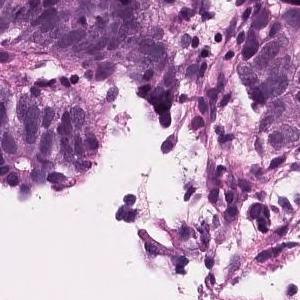
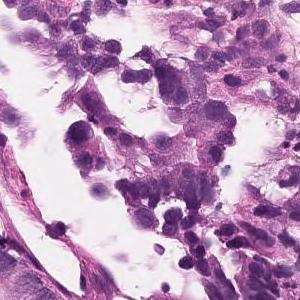
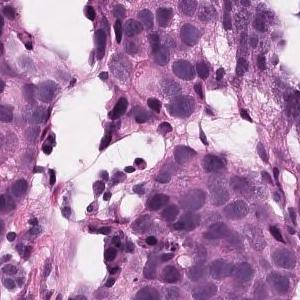
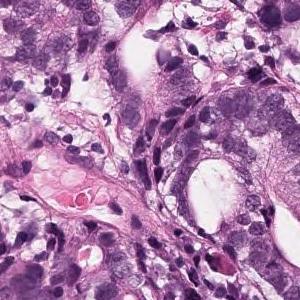
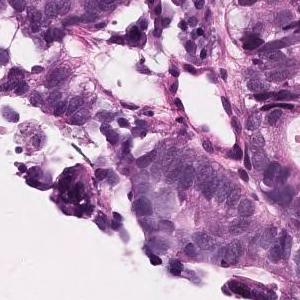
5 patches cut from one gastric biopsy slide · H&E · 20× magnification.
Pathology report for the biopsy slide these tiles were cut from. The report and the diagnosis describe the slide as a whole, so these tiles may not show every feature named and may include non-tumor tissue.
On the superficial epithelium, tumor tissue consisting of large, irregular glandular ducts partially fused and infiltrated is observed. Well to moderately differentiated tubular adenocarcinoma (well differentiated tubular adenocarcinoma, moderately differentiated tubular adenocarcinoma)
Tumor subtype: well to moderately differentiated tubular adenocarcinoma.
